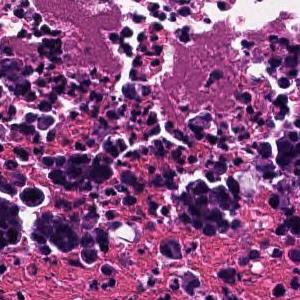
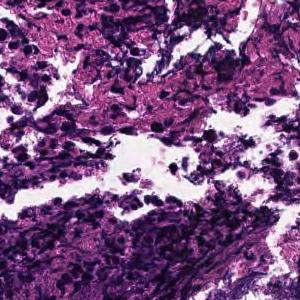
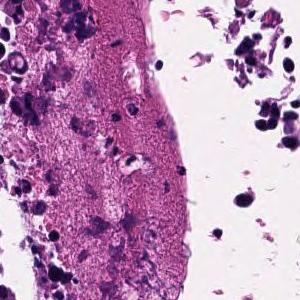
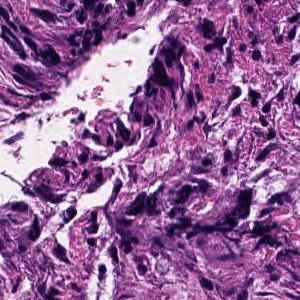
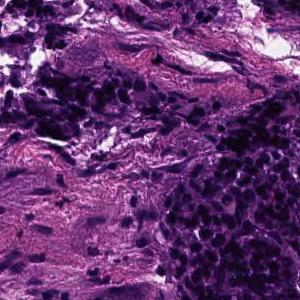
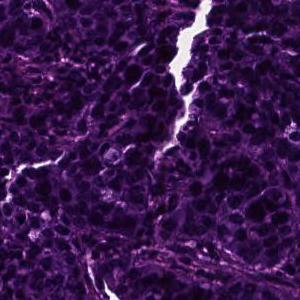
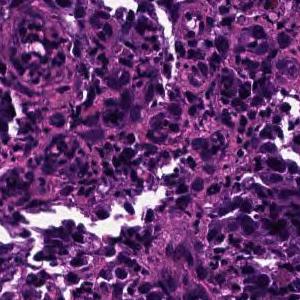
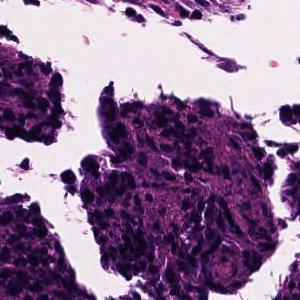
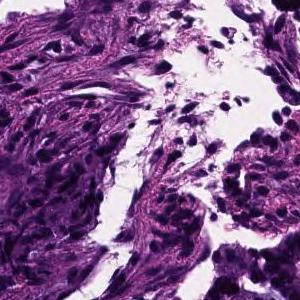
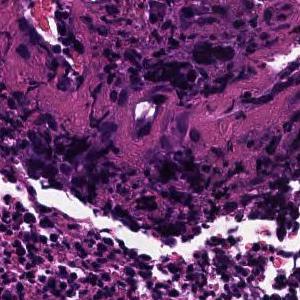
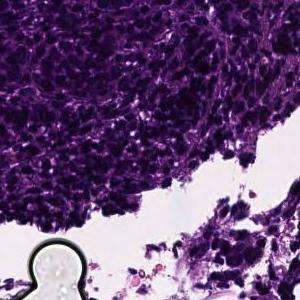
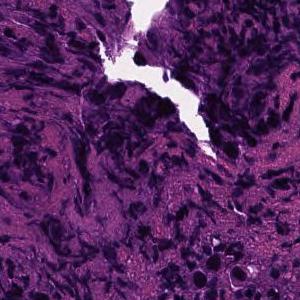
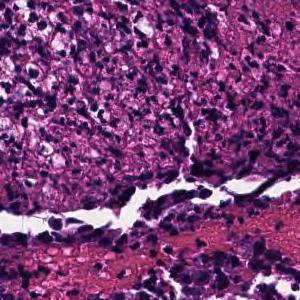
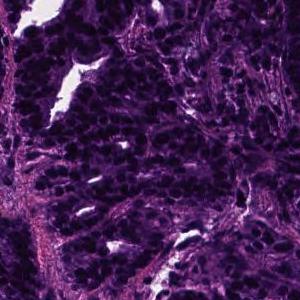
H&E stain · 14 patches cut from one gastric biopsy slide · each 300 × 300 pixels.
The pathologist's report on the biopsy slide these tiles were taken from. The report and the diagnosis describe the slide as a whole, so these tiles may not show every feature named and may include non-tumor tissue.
In the superficial epithelium, tumor tissue that invades by forming medium-sized to small, irregular ducts is observed. moderately differentiated tubular adenocarcinoma.
